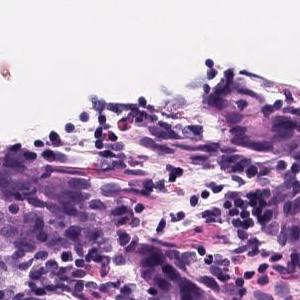
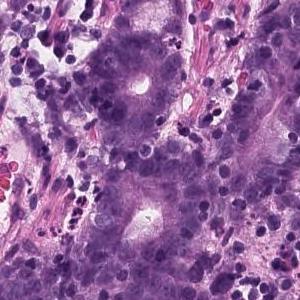
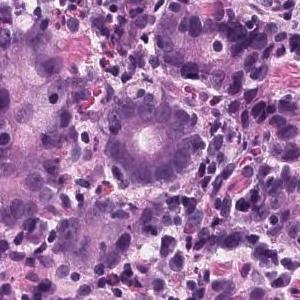
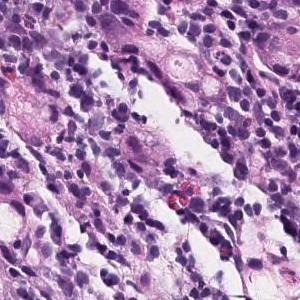
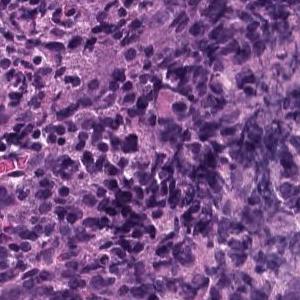
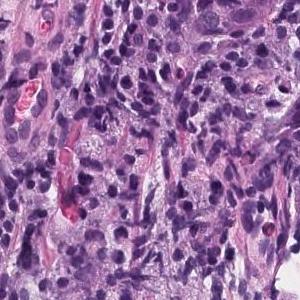
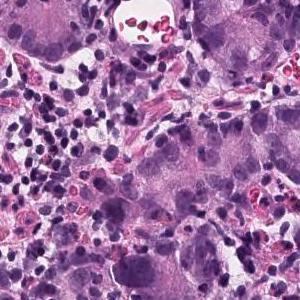
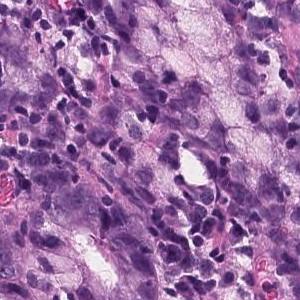
H&E · scanned at ×20 · 8 patches cut from one gastric biopsy slide.
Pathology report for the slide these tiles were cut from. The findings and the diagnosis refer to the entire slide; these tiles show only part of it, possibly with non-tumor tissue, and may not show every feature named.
In the superficial epithelium, tumor tissue that invades by forming medium-sized to small, irregular ducts is observed. Moderately differentiated adenocarcinoma.
Subtype: Moderately differentiated tubular adenocarcinoma.
